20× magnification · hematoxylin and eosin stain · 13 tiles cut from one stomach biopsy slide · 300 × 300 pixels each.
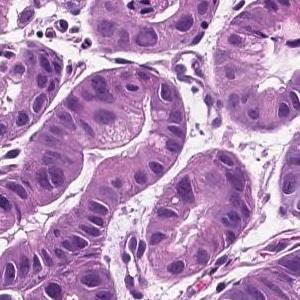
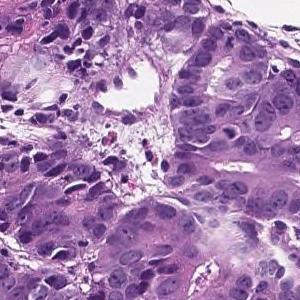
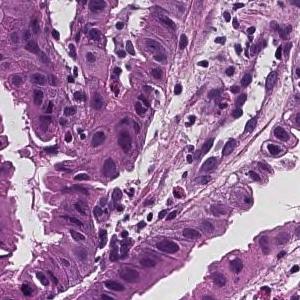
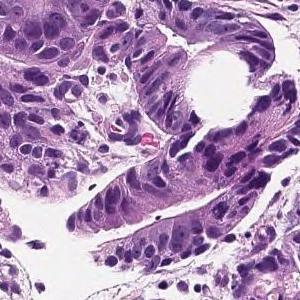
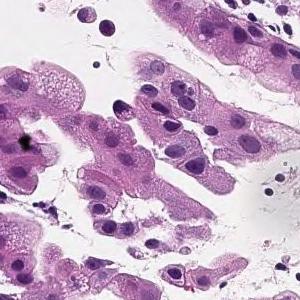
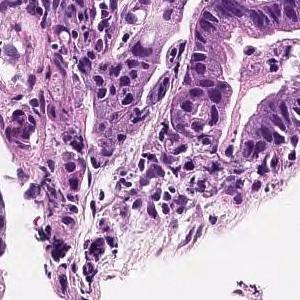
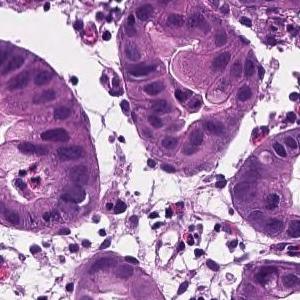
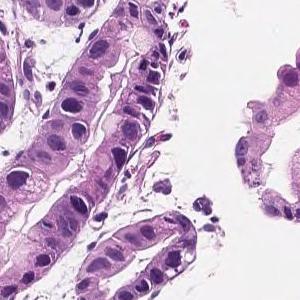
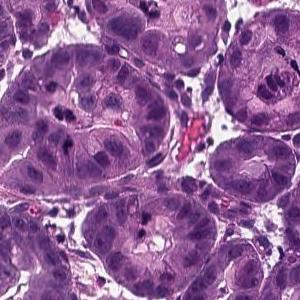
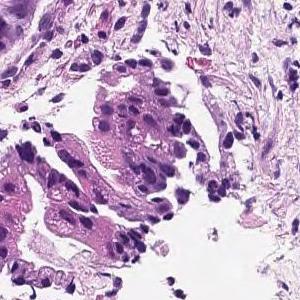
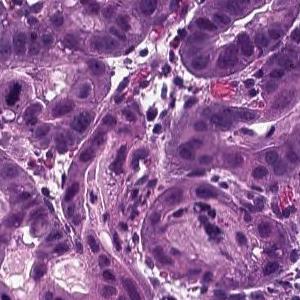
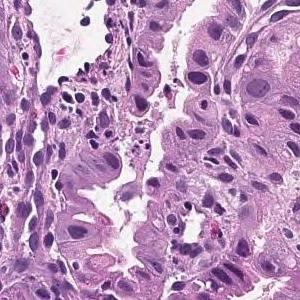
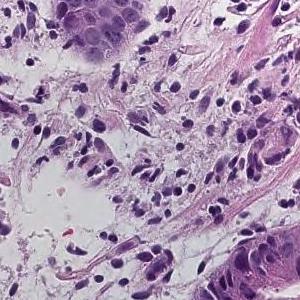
The pathologist's report on the biopsy slide these tiles were taken from. The report and the diagnosis describe the slide as a whole, so these tiles may not show every feature named and may include non-tumor tissue.
On the superficial epithelium, tumor tissue that infiltrates by forming medium-sized papillary or small irregular ducts is observed. Papillary adenocarcinoma
